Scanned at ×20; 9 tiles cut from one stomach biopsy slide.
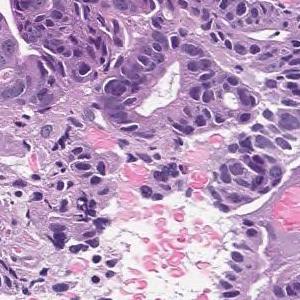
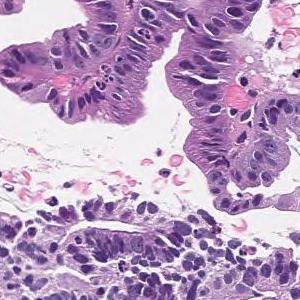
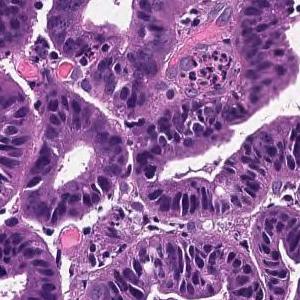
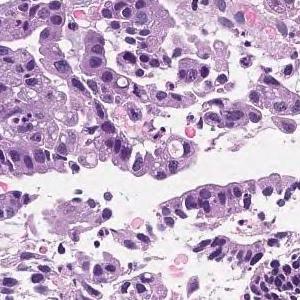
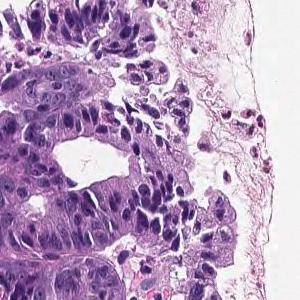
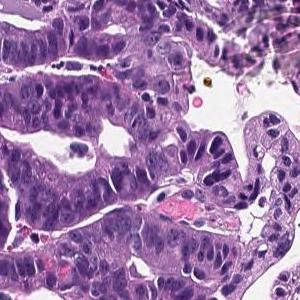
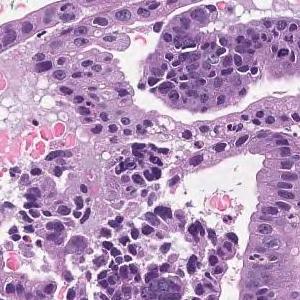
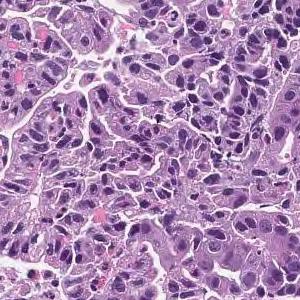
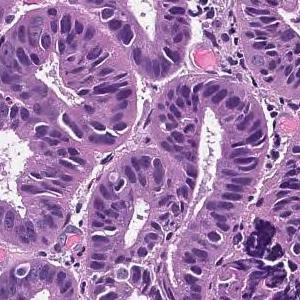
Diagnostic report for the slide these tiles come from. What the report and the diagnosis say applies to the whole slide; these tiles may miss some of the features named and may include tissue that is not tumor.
Tumor cells are large, highly columnar, large club-shaped nuclei, and are associated with chromatin aggregation. Papillary adenocarcinoma.
